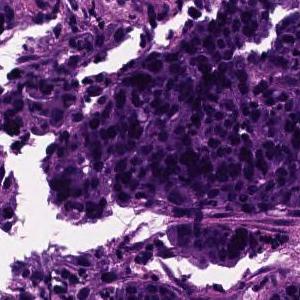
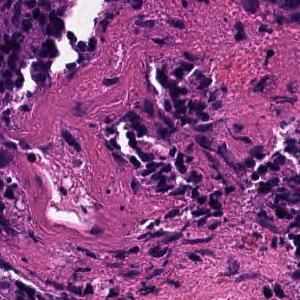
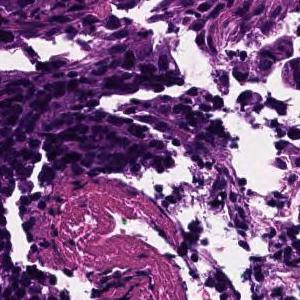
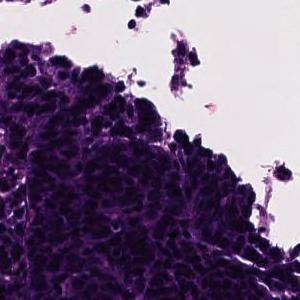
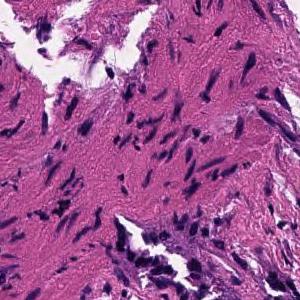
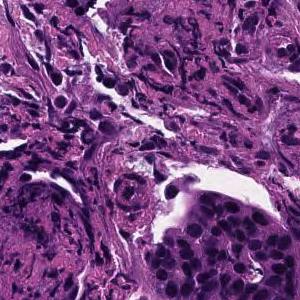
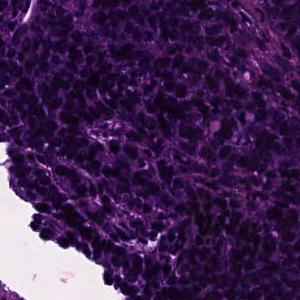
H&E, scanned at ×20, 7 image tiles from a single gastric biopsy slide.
Diagnostic report for the slide these tiles come from. The report describes the whole slide, diagnosis included: not every finding it names need appear in these tiles, which may also show non-tumor tissue.
In the superficial epithelium, tumor tissue that invades by forming medium-sized to small, irregular ducts is observed. moderately differentiated tubular adenocarcinoma.
